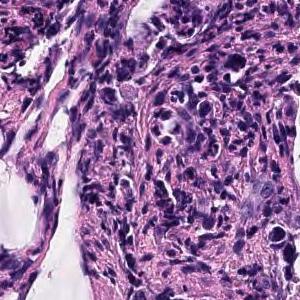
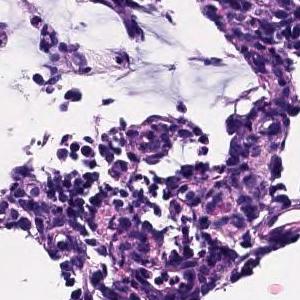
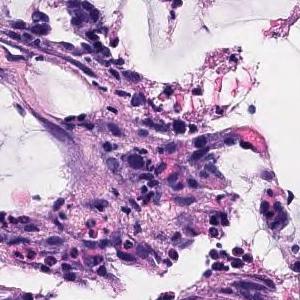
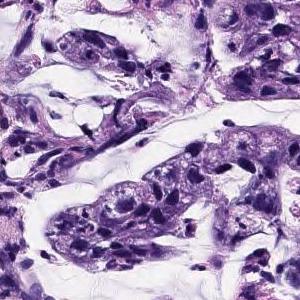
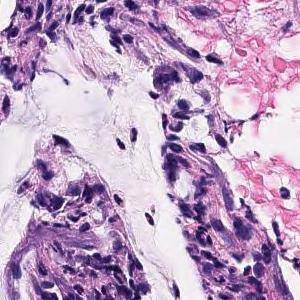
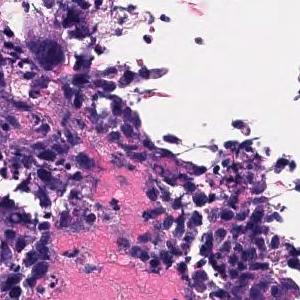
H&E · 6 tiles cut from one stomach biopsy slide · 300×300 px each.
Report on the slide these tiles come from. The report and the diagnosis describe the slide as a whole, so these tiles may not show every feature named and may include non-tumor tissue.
The superficial epithelium shows small cord-like infiltrating tumor tissue. Some part of neoplastic cells are signet ring cell type which show single invasion manner. Poorly differentiated adenocarcinoma, non-solid type.
"Non-solid type" is a category of the Japanese Classification of Gastric Carcinoma.
